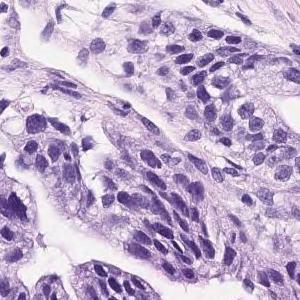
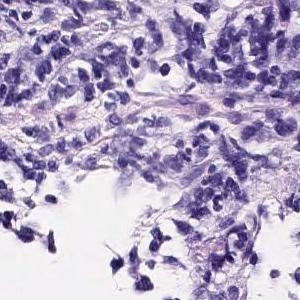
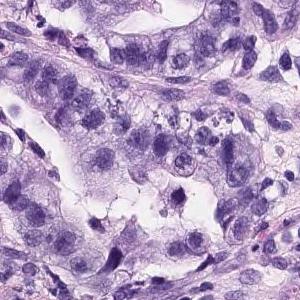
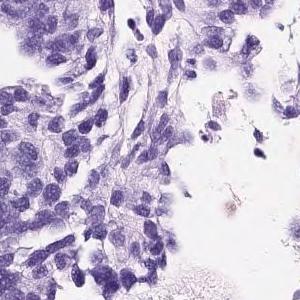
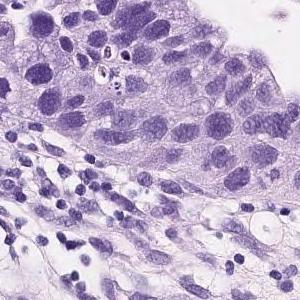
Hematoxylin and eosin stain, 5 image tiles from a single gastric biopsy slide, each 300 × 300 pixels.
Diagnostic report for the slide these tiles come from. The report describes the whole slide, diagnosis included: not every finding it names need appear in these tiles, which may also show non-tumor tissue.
On the superficial epithelium, tumor tissue consisting of medium to small irregular tubules partially fused and proliferated is observed. moderately differentiated tubular adenocarcinoma
